8 tiles from the same stomach biopsy slide.
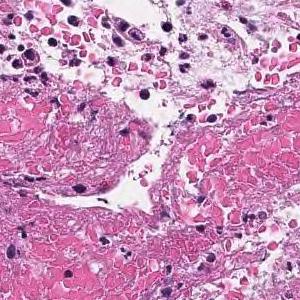
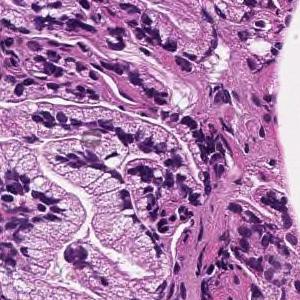
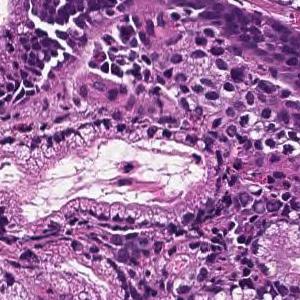
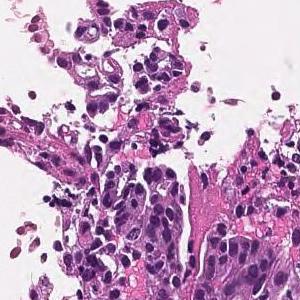
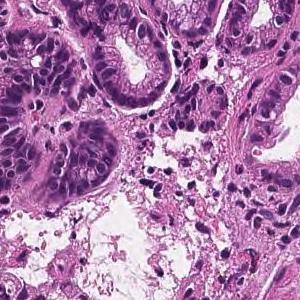
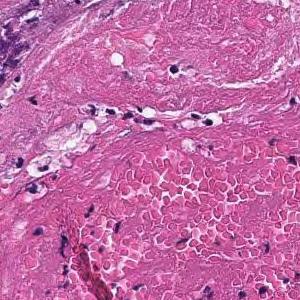
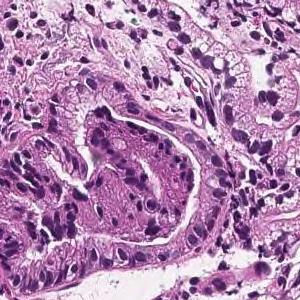
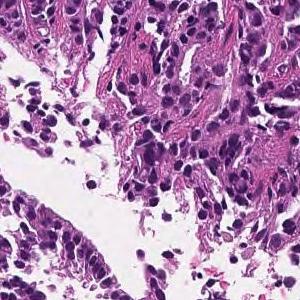
The pathologist's report on the biopsy slide these tiles were taken from. The report and the diagnosis cover the entire slide, so not every feature they name need be visible here, and some tissue shown may not be tumor.
On the superficial epithelium, tumor tissue that infiltrates by forming medium-sized papillary or small irregular ducts is observed. Papillary adenocarcinoma
